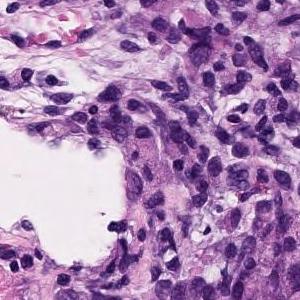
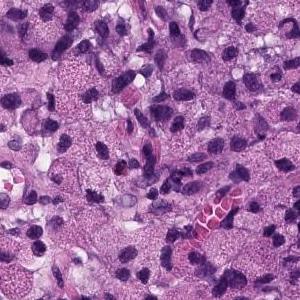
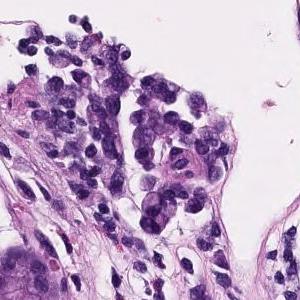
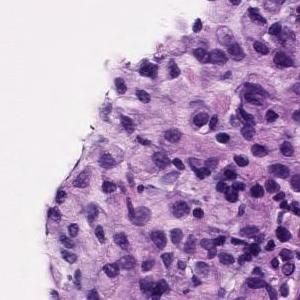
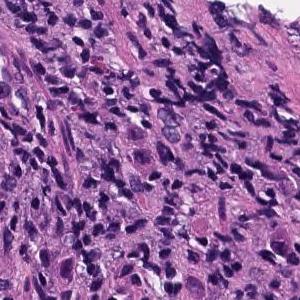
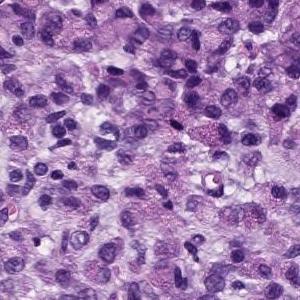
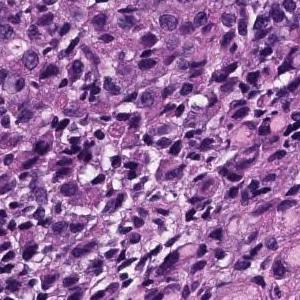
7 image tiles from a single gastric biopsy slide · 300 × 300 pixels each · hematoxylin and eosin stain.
The pathologist's report on the biopsy slide these tiles were taken from. The findings and the diagnosis refer to the entire slide; these tiles show only part of it, possibly with non-tumor tissue, and may not show every feature named.
The superficial epithelium shows a large sheet-like shape, and some tumor tissue infiltrates with small irregular ducts. Poorly differentiated adenocarcinoma, solid-type
Histologic type: Poorly differentiated adenocarcinoma, solid type (Japanese Classification of Gastric Carcinoma). The WHO 2019 equivalent is tubular adenocarcinoma, poorly differentiated.
